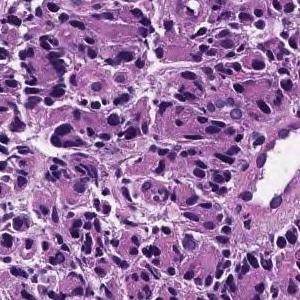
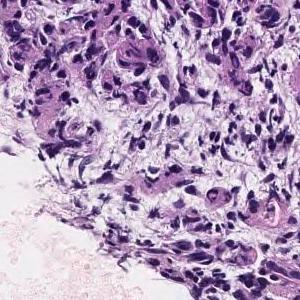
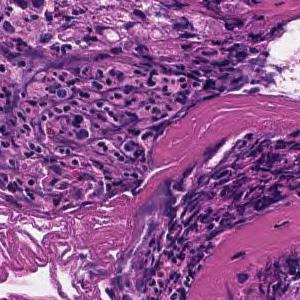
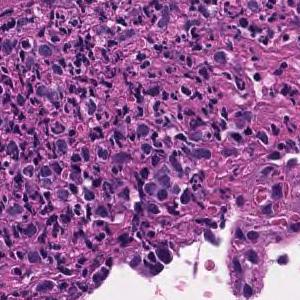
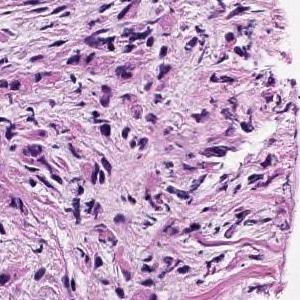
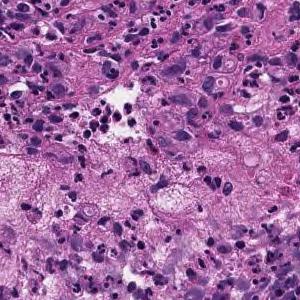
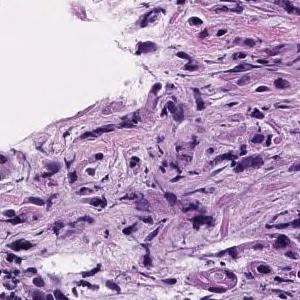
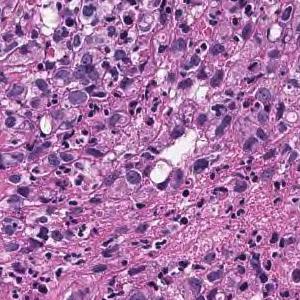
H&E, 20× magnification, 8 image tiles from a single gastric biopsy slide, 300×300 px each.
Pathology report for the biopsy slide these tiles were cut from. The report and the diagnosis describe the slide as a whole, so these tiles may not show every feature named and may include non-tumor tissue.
The superficial epithelium shows a large sheet-like shape, and some tumor tissue infiltrates with small irregular ducts. Poorly differentiated adenocarcinoma, solid-type
Tumor subtype: poorly differentiated adenocarcinoma, solid type, a category of the Japanese Classification of Gastric Carcinoma; in the WHO 2019 classification it is tubular adenocarcinoma, poorly differentiated.
